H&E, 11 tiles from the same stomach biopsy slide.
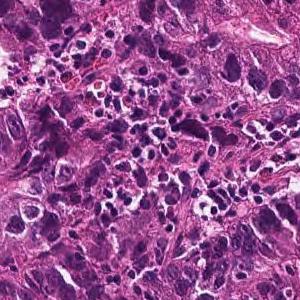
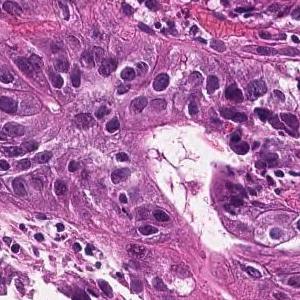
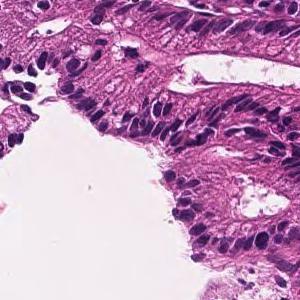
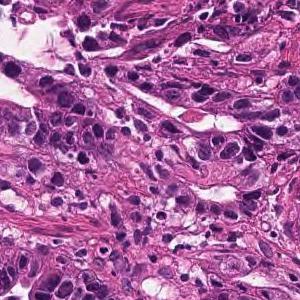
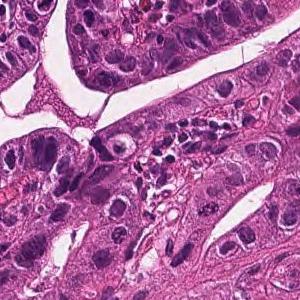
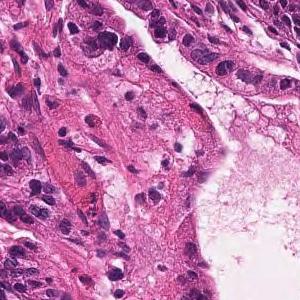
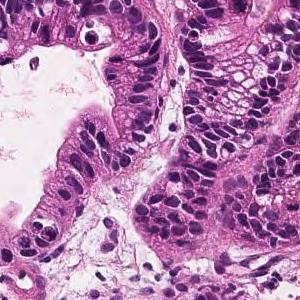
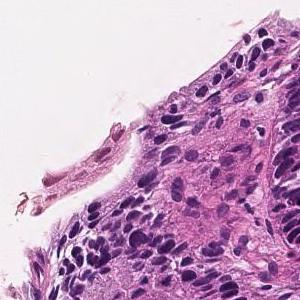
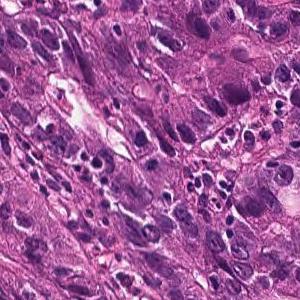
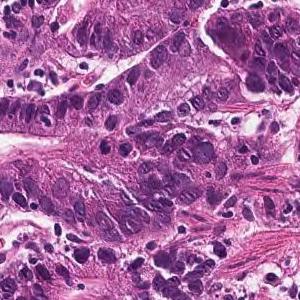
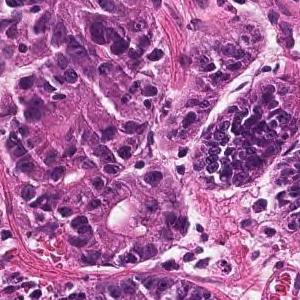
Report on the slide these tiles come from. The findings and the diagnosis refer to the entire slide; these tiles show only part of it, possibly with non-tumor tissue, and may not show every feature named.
In the superficial epithelium, tumor tissue that invades by forming medium-sized to small, irregular ducts is observed. moderately differentiated tubular adenocarcinoma.
